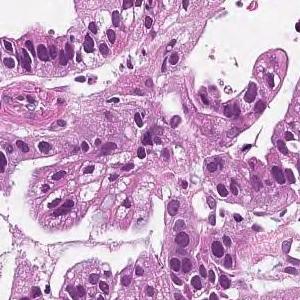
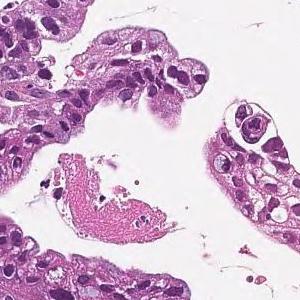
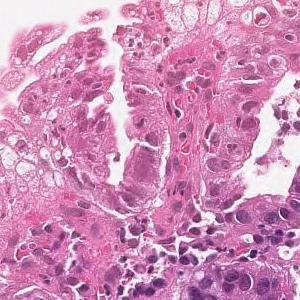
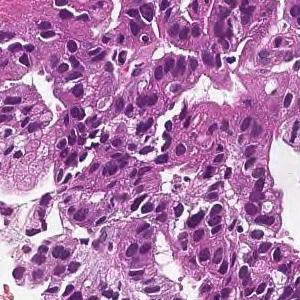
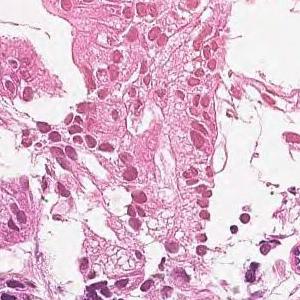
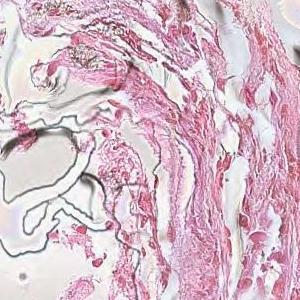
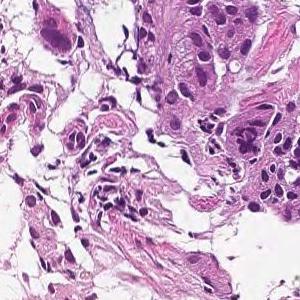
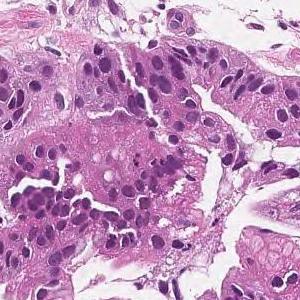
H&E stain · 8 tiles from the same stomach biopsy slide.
Pathology report for the biopsy slide these tiles were cut from. The report describes the whole slide, diagnosis included: not every finding it names need appear in these tiles, which may also show non-tumor tissue.
On the superficial epithelium, tumor tissue that infiltrates by forming medium-sized papillary or small irregular ducts is observed. Papillary adenocarcinoma
